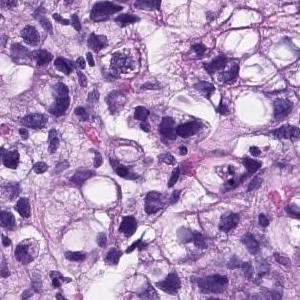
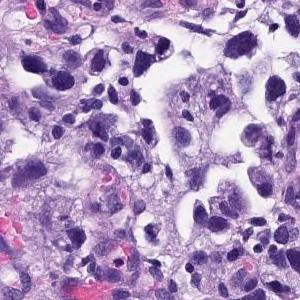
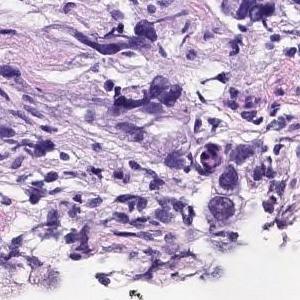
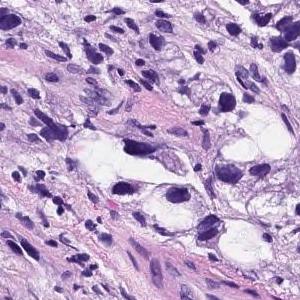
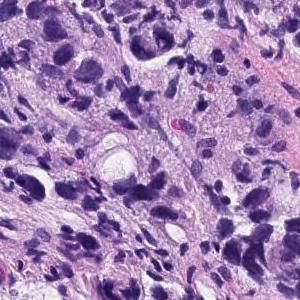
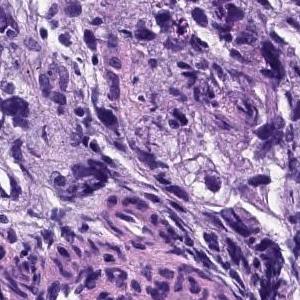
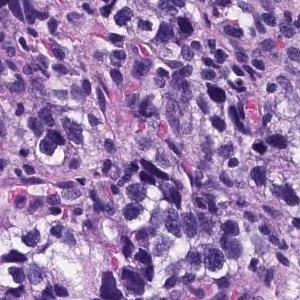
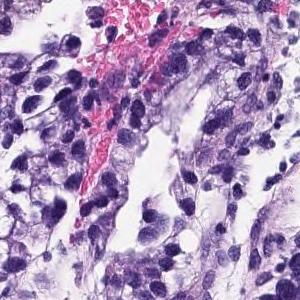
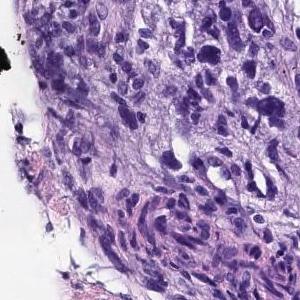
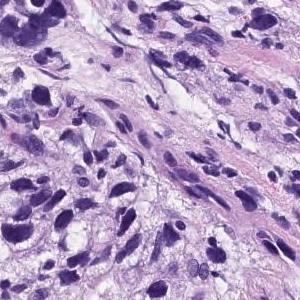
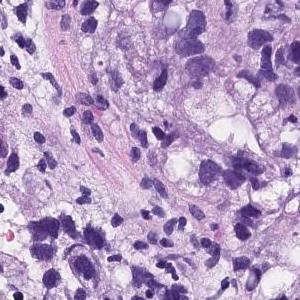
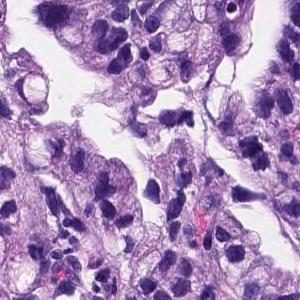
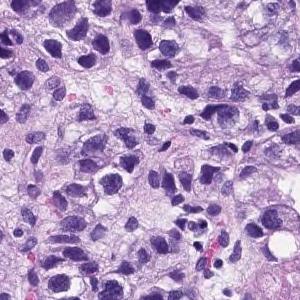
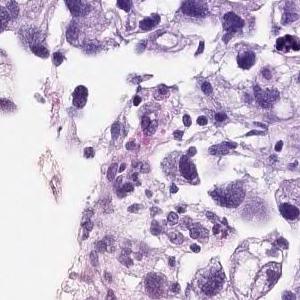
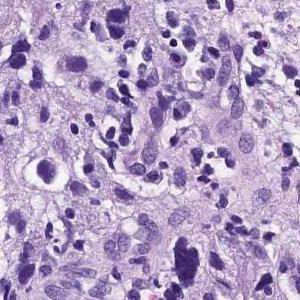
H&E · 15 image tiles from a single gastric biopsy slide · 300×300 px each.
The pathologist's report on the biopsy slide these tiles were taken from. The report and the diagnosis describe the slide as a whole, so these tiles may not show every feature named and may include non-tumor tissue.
Medium to small, irregular glandular ducts are formed in the superficial epithelium, and in some cases, the glandular ducts are fused to show solid alveolar lesions and infiltrating tumor tissue is observed. Poorly differentiated adenocarcinoma, Moderately differentiated adenocarcinoma.
Dataset label: moderately differentiated tubular adenocarcinoma.
